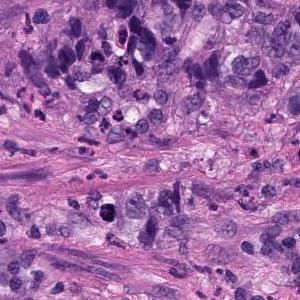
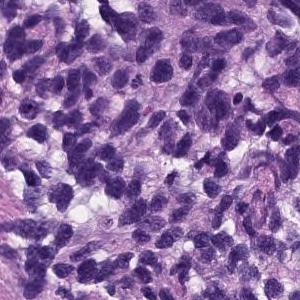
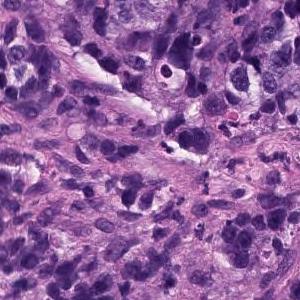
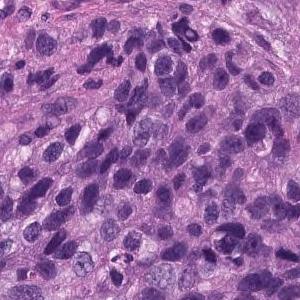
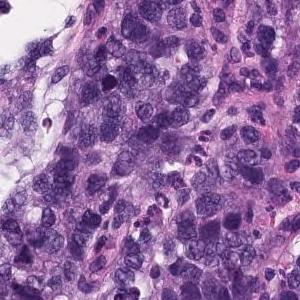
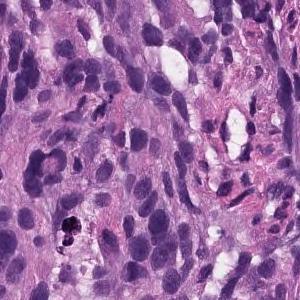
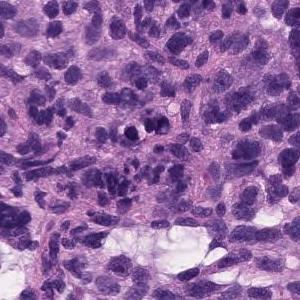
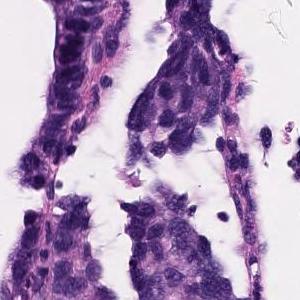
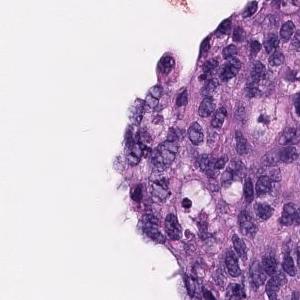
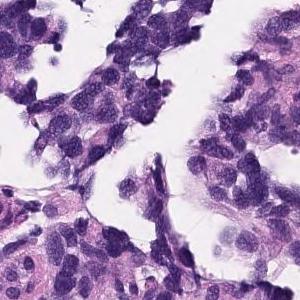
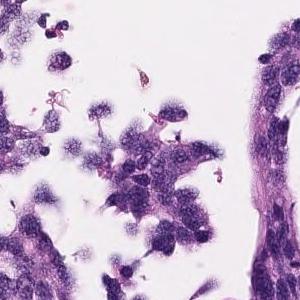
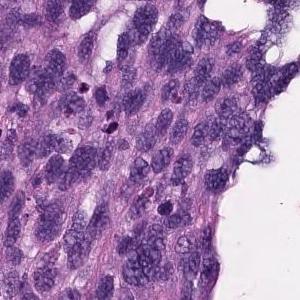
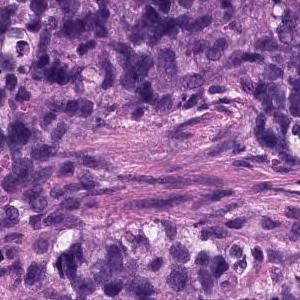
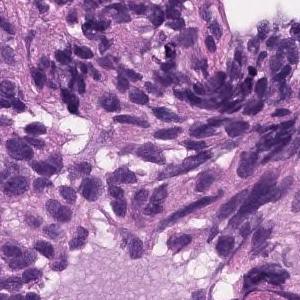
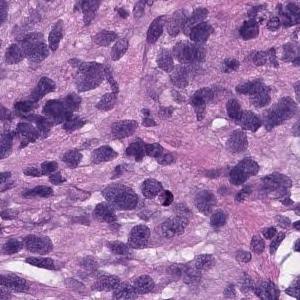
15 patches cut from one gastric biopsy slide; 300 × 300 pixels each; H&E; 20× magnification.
Report on the slide these tiles come from. The findings and the diagnosis refer to the entire slide; these tiles show only part of it, possibly with non-tumor tissue, and may not show every feature named.
Atypical l cells with atypical nuclei under the mucosa growing in isolation and scattered. Poorly differentiated adenocarcinoma (poorly differentiated adenocarcinoma, non-solid type)
Histologic type: Poorly differentiated adenocarcinoma, non-solid type.
The term "non-solid type" comes from the Japanese Classification of Gastric Carcinoma.
